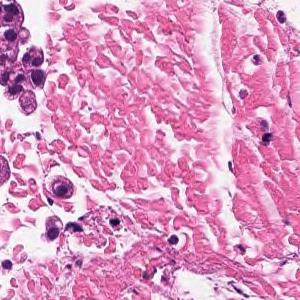
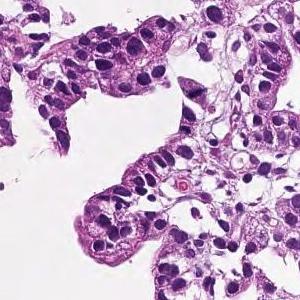
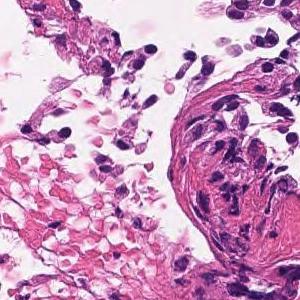
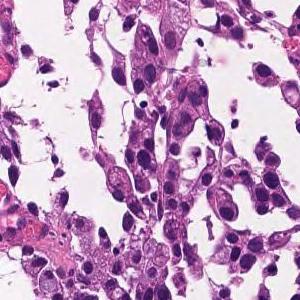
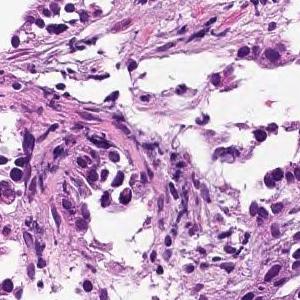
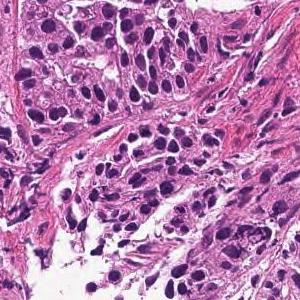
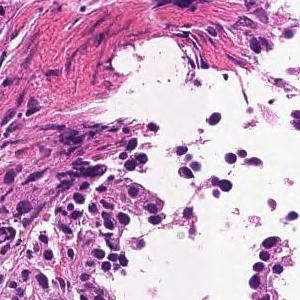
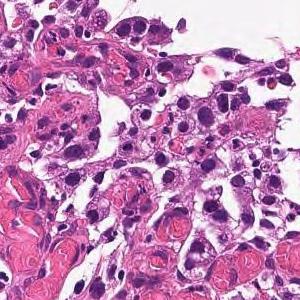
8 tiles from the same stomach biopsy slide, 300 × 300 pixels each, scanned at ×20, H&E.
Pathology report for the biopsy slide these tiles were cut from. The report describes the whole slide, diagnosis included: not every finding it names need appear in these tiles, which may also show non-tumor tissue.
In the superficial epithelium, tumor tissue that invades by forming medium-sized to small, irregular ducts is observed. moderately differentiated tubular adenocarcinoma.
